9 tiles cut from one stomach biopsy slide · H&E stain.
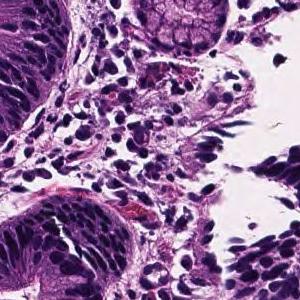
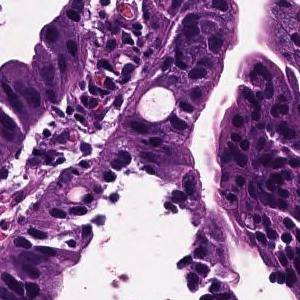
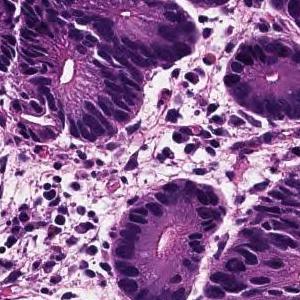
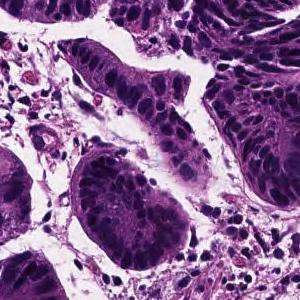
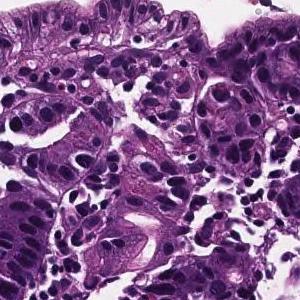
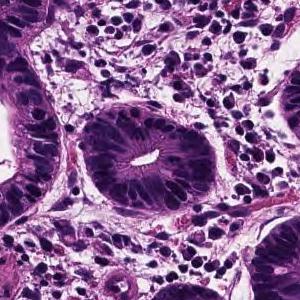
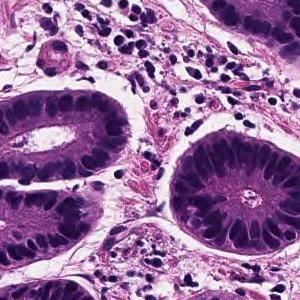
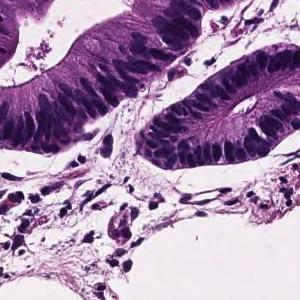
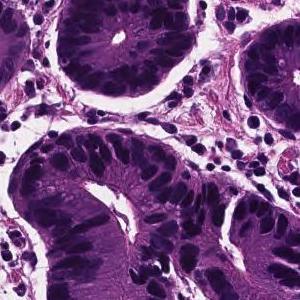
Pathology report for the slide these tiles were cut from. Both the report and the diagnosis are for the whole slide: these tiles need not show every feature named, and some of the tissue shown may not be tumor.
From the superficial epithelium to the muscularis mucosae, tumor tissue consisting of medium-sized and irregular glandular ducts infiltrating is observed. Well differentiated tubular adenocarcinoma
